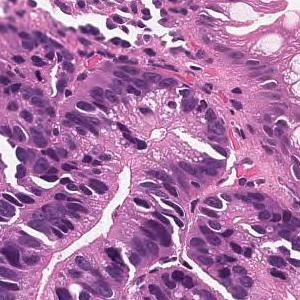
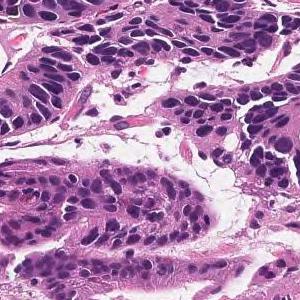
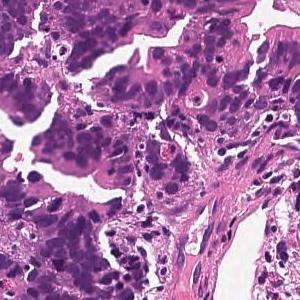
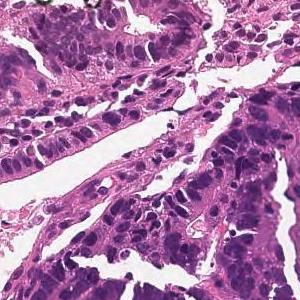
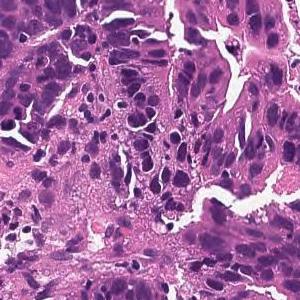
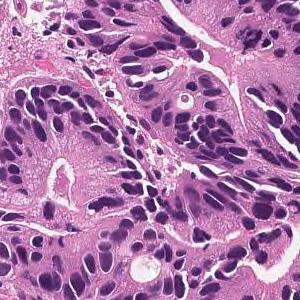
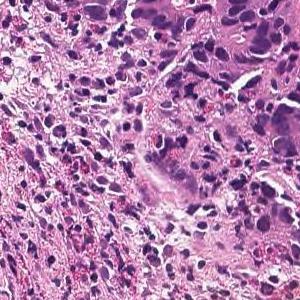
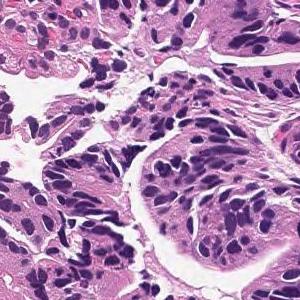
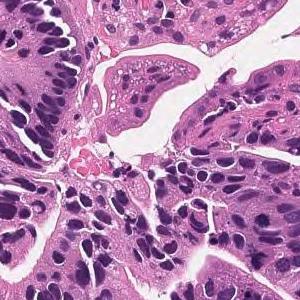
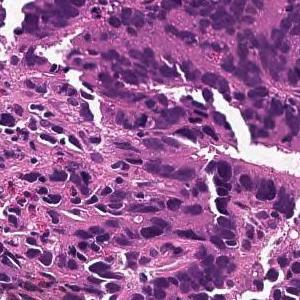
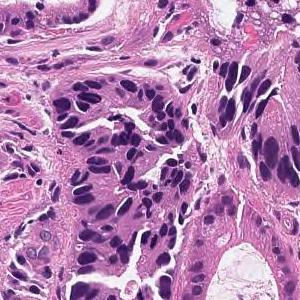
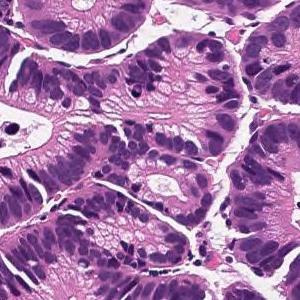
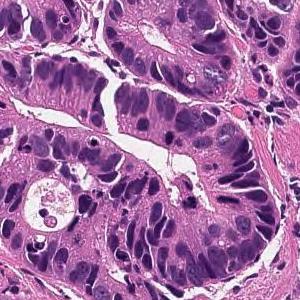
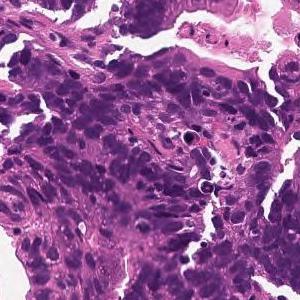
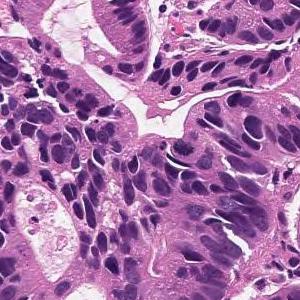
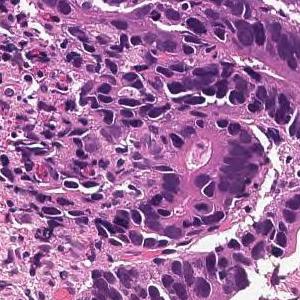
20× magnification · hematoxylin and eosin stain · 16 tiles cut from one stomach biopsy slide · 300×300 px each.
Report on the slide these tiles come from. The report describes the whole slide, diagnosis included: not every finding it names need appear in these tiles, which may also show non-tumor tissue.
Tumor cells are large, highly columnar, large club-shaped nuclei, and are associated with chromatin aggregation. Papillary adenocarcinoma.
